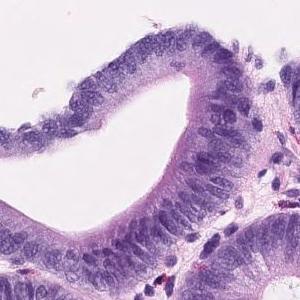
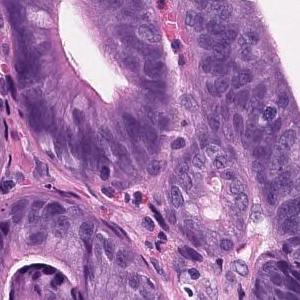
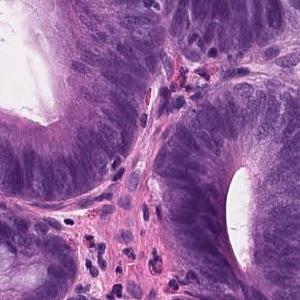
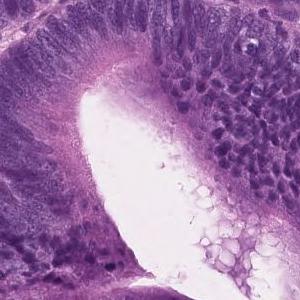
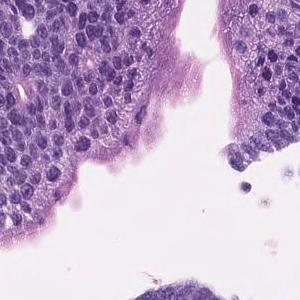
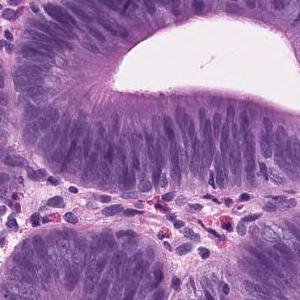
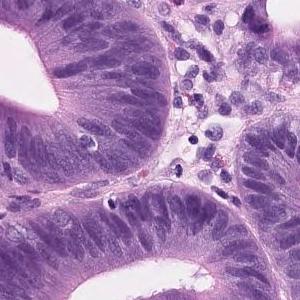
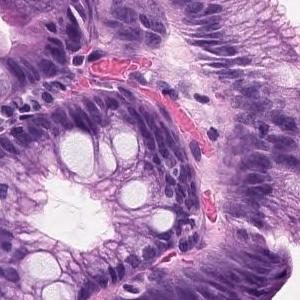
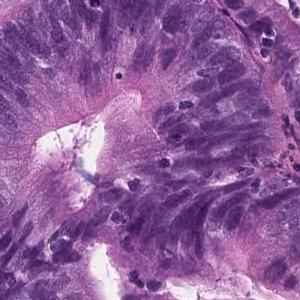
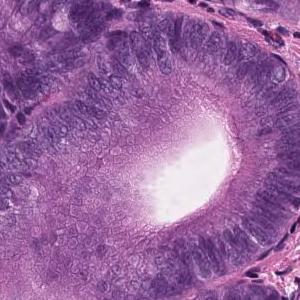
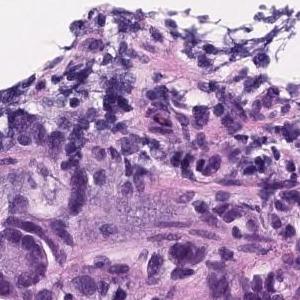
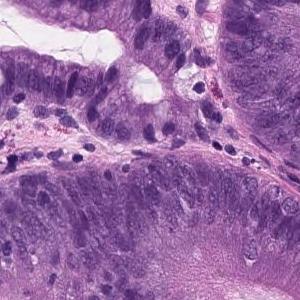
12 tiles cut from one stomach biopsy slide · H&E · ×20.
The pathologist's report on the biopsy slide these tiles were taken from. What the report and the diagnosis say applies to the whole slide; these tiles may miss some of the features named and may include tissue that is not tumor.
On the superficial epithelium, tumor tissue with densely growing medium to large, round tubules is observed. Tumor cells are highly columnar, with nuclei aligned basolaterally and polarized. Well differentiated tubular adenocarcinoma
